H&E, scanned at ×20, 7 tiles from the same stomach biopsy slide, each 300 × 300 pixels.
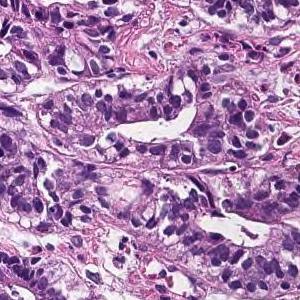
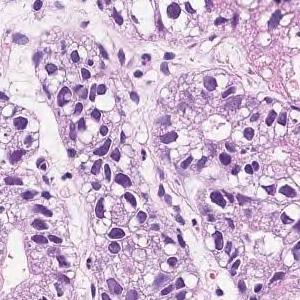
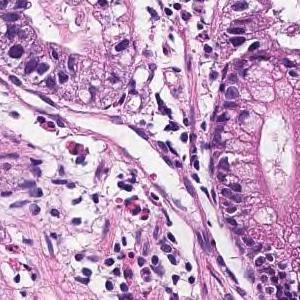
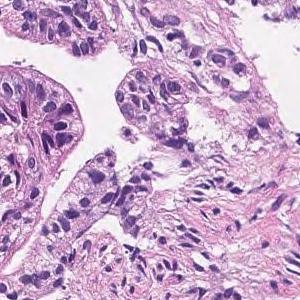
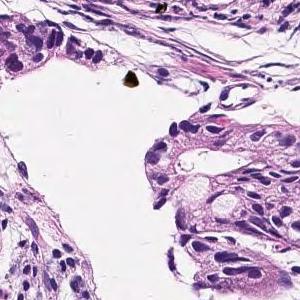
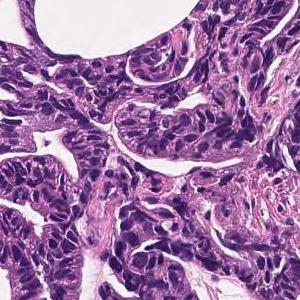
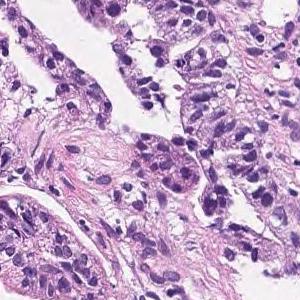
The pathologist's report on the biopsy slide these tiles were taken from. Both the report and the diagnosis are for the whole slide: these tiles need not show every feature named, and some of the tissue shown may not be tumor.
In the superficial epithelium, tumor tissue that invades by forming medium-sized to small, irregular ducts is observed. Moderately differentiated adenocarcinoma.
Histologic type: Moderately differentiated tubular adenocarcinoma.
